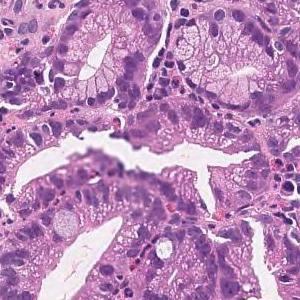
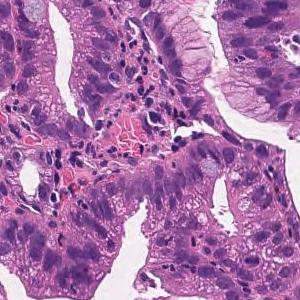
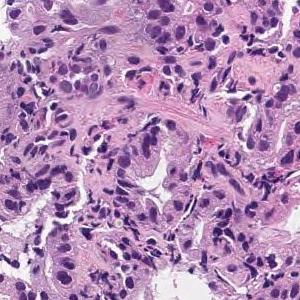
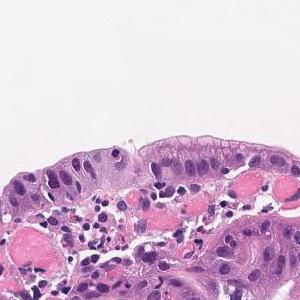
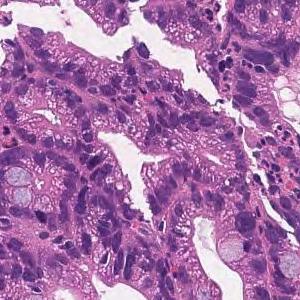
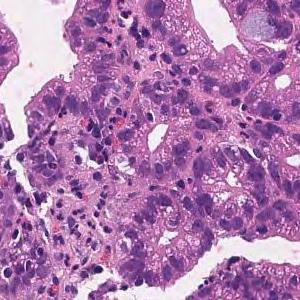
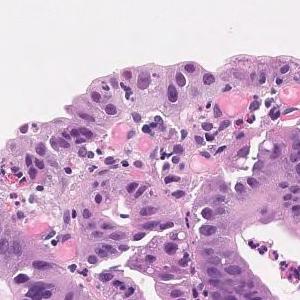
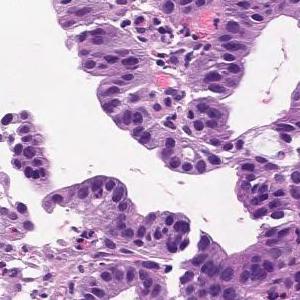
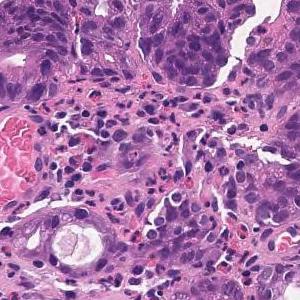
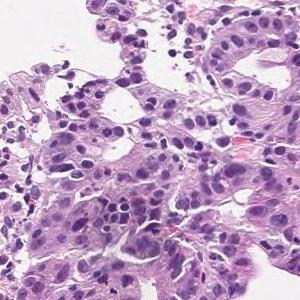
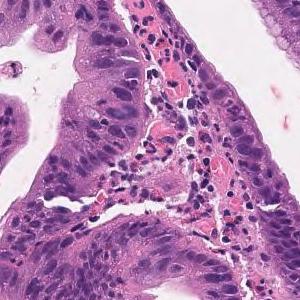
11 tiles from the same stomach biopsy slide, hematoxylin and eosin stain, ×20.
Diagnostic report for the slide these tiles come from. The report describes the whole slide, diagnosis included: not every finding it names need appear in these tiles, which may also show non-tumor tissue.
On the superficial epithelium, tumor tissue that infiltrates by forming medium-sized papillary or small irregular ducts is observed. Papillary adenocarcinoma
